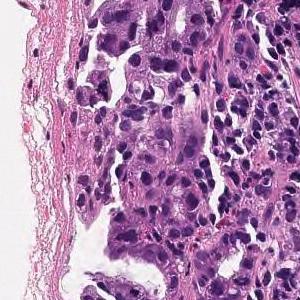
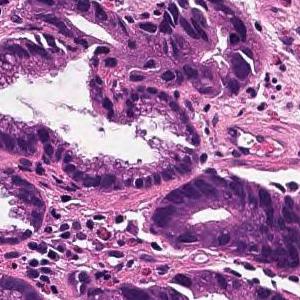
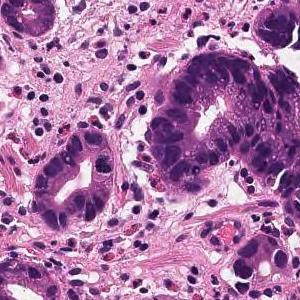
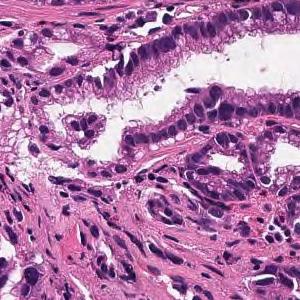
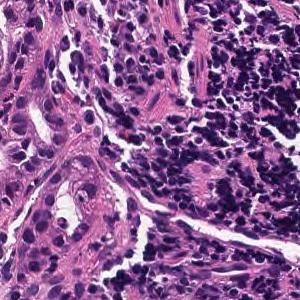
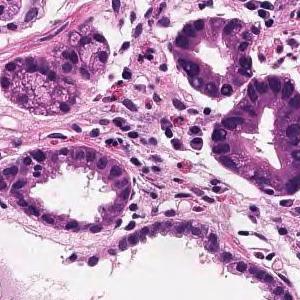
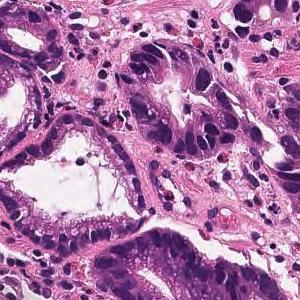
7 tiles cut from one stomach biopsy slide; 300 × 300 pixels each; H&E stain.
The pathologist's report on the biopsy slide these tiles were taken from. What the report and the diagnosis say applies to the whole slide; these tiles may miss some of the features named and may include tissue that is not tumor.
On the superficial epithelium, tumor tissue consisting of large, irregular glandular ducts partially fused and infiltrated is observed. Well to moderately differentiated tubular adenocarcinoma (well differentiated tubular adenocarcinoma, moderately differentiated tubular adenocarcinoma)
Tumor subtype: well to moderately differentiated tubular adenocarcinoma.
